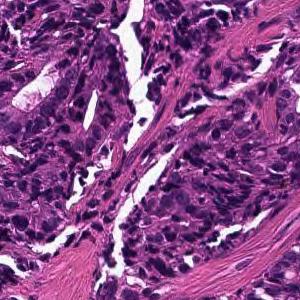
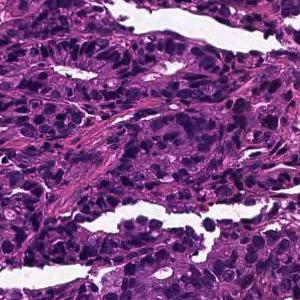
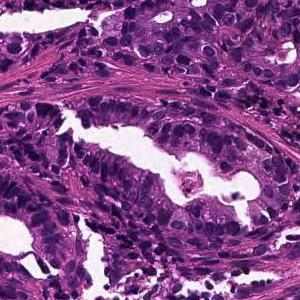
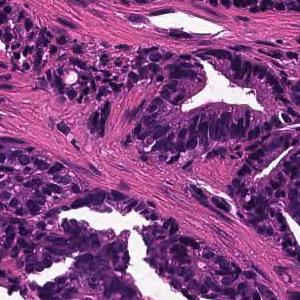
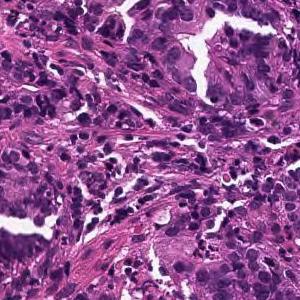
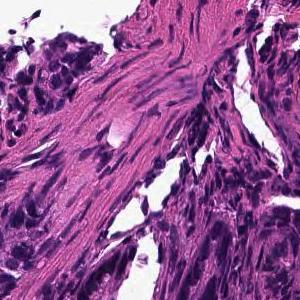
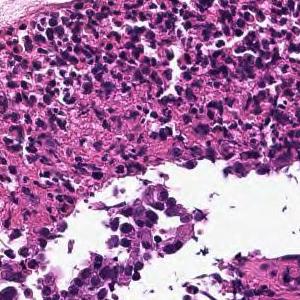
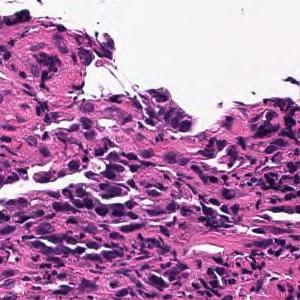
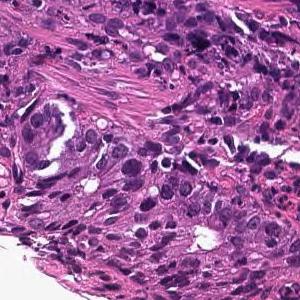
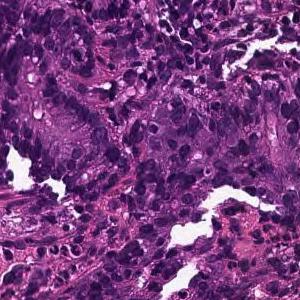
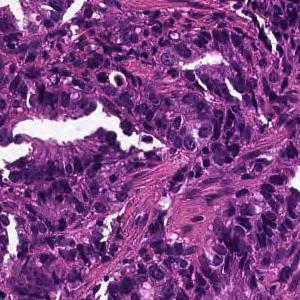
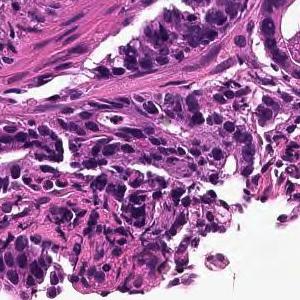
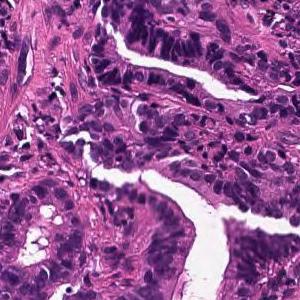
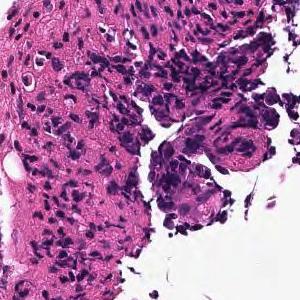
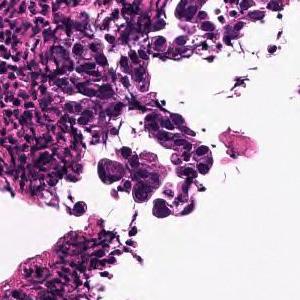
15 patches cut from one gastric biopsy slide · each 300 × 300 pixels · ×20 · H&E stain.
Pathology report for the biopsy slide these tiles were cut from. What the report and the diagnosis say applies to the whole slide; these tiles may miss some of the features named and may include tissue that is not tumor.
In the superficial epithelium, tumor tissue that invades by forming medium-sized to small, irregular ducts is observed. moderately differentiated tubular adenocarcinoma.
